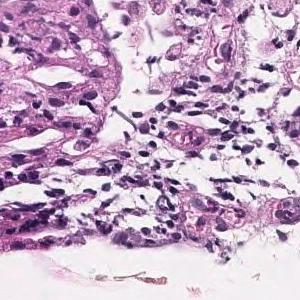
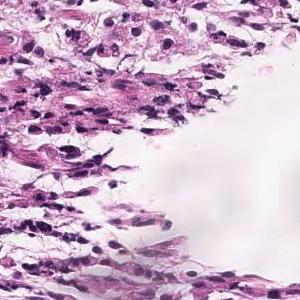
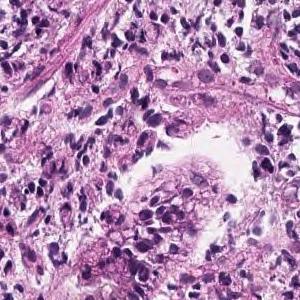
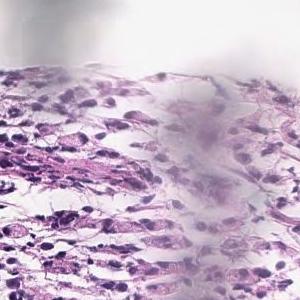
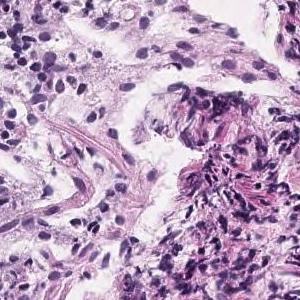
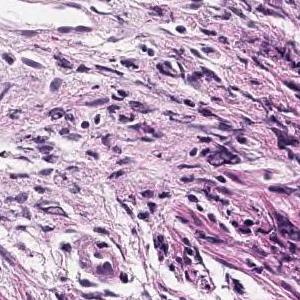
6 patches cut from one gastric biopsy slide, hematoxylin and eosin stain.
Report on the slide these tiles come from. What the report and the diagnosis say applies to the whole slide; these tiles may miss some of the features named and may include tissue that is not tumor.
In the lamina propria, a tumor tissue consisting of signet ring cell type atypical epithelial cells infiltrating is observed. Signet ring cell carcinoma.
